H&E · scanned at ×20 · 4 tiles from the same stomach biopsy slide.
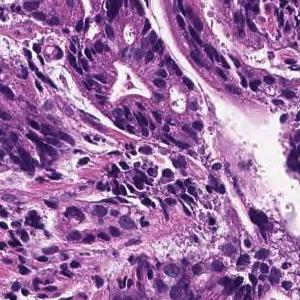
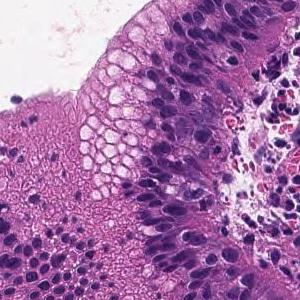
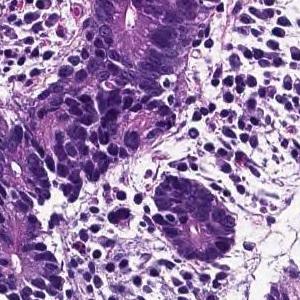
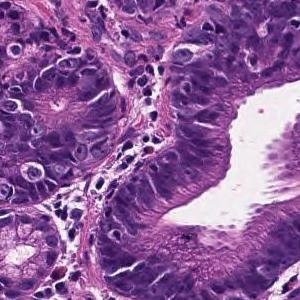
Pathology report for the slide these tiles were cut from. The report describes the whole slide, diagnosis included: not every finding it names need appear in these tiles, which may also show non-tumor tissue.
From the superficial epithelium to the muscularis mucosae, tumor tissue consisting of medium-sized and irregular glandular ducts infiltrating is observed. Well differentiated tubular adenocarcinoma
